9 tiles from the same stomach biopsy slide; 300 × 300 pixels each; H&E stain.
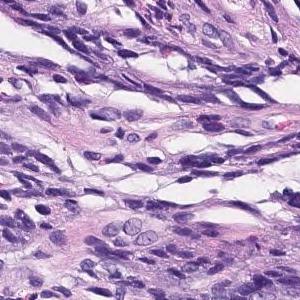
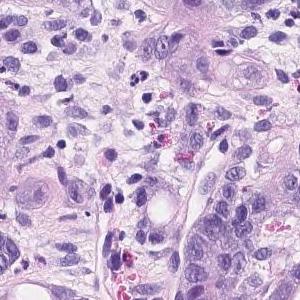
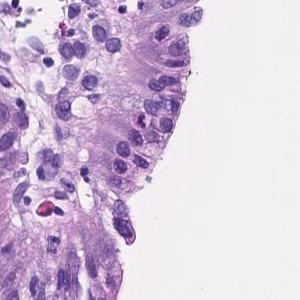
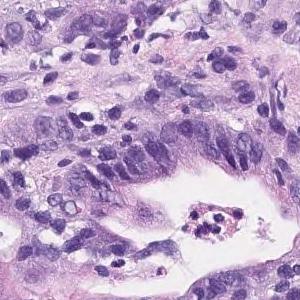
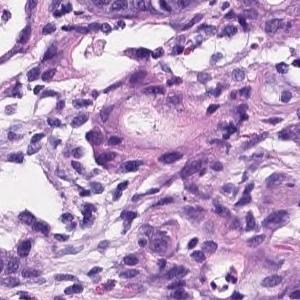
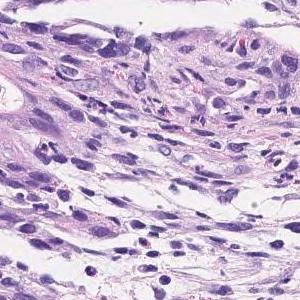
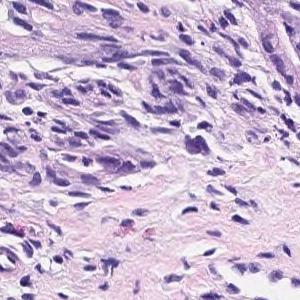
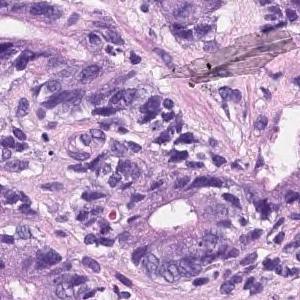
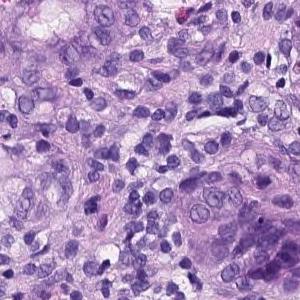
Pathology report for the slide these tiles were cut from. What the report and the diagnosis say applies to the whole slide; these tiles may miss some of the features named and may include tissue that is not tumor.
Irregularly fused atypical ducts proliferating while replacing existing ducts was observed. moderately differentiated tubular adenocarcinoma
